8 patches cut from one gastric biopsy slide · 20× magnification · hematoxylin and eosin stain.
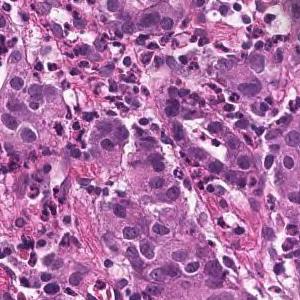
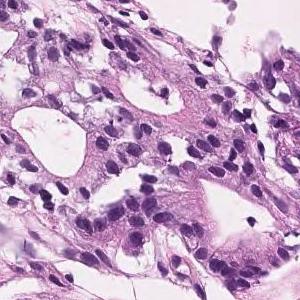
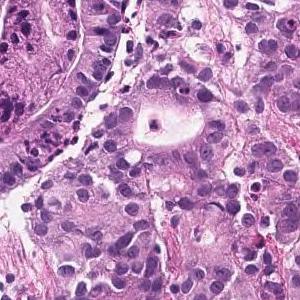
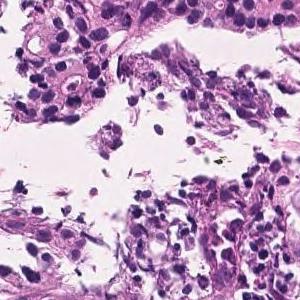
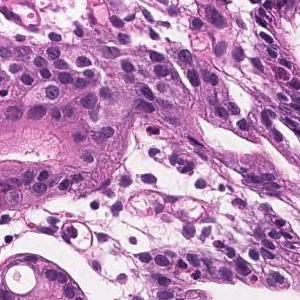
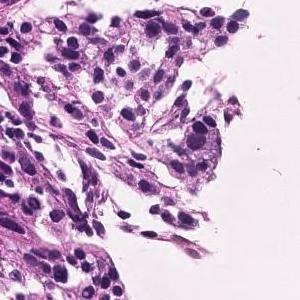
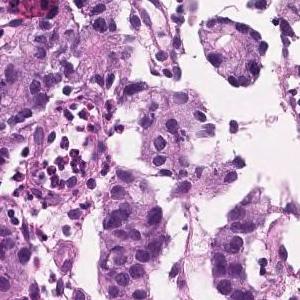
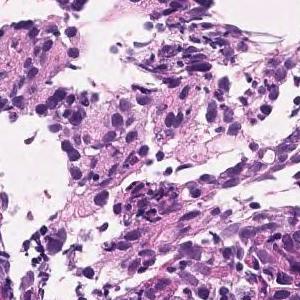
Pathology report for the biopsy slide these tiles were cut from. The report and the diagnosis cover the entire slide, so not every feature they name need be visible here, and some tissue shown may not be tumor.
Medium to small, irregular glandular ducts are formed in the superficial epithelium, and in some cases, the glandular ducts are fused to show solid alveolar lesions and infiltrating tumor tissue is observed. Moderately to poorly differentiated adenocarcinoma.
